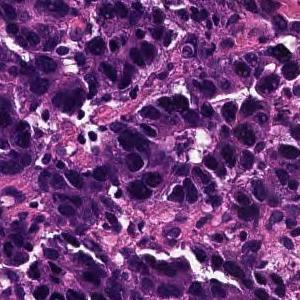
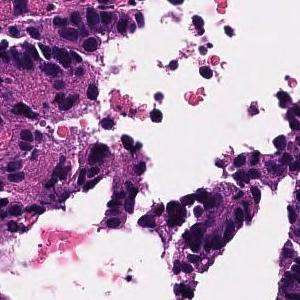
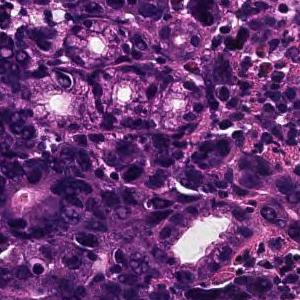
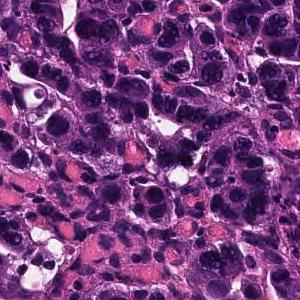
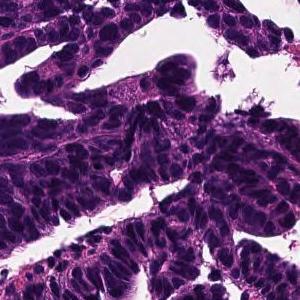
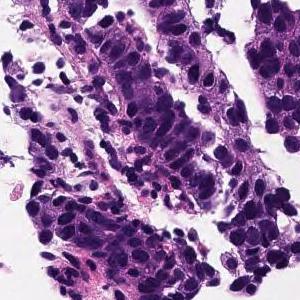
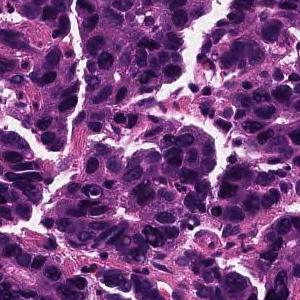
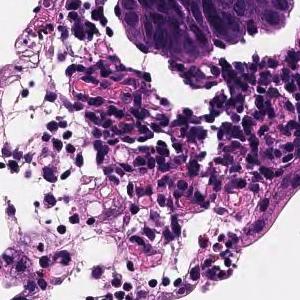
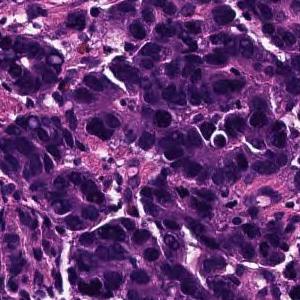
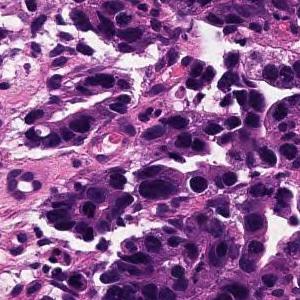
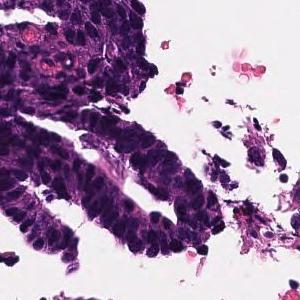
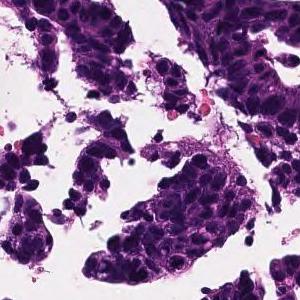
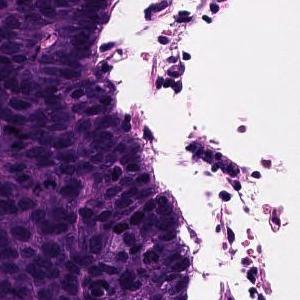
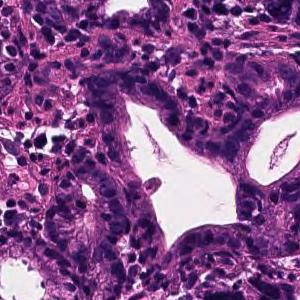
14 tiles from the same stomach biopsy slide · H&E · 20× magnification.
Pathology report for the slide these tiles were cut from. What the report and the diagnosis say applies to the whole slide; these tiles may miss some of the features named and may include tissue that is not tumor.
In the superficial epithelium, tumor tissue that invades by forming medium-sized to small, irregular ducts is observed. moderately differentiated tubular adenocarcinoma.
